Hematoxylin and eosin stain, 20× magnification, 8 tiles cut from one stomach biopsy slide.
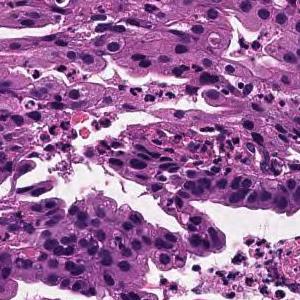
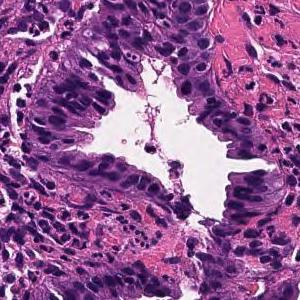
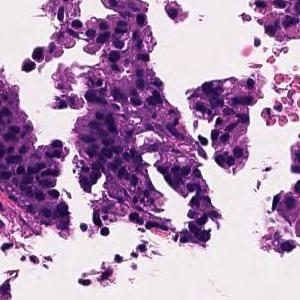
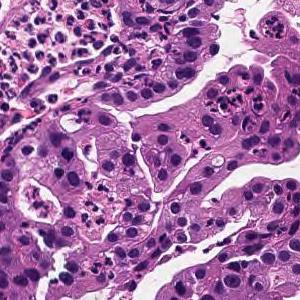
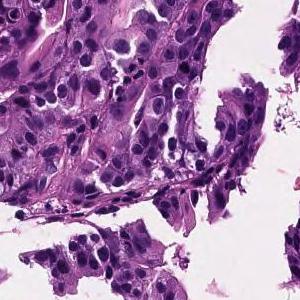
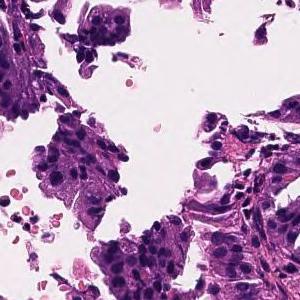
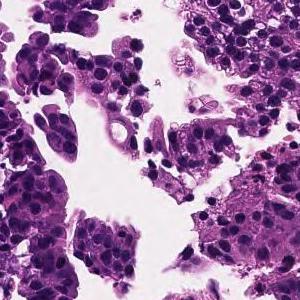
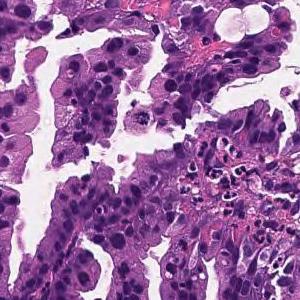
Pathology report for the biopsy slide these tiles were cut from. The report and the diagnosis describe the slide as a whole, so these tiles may not show every feature named and may include non-tumor tissue.
On the superficial epithelium, tumor tissue consisting of large, irregular glandular ducts partially fused and infiltrated is observed. Well to moderately differentiated tubular adenocarcinoma (well differentiated tubular adenocarcinoma, moderately differentiated tubular adenocarcinoma)
Classified as well to moderately differentiated tubular adenocarcinoma.
